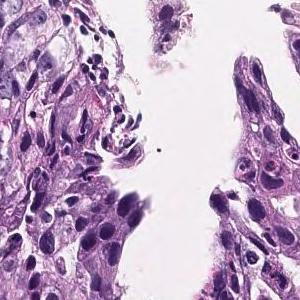
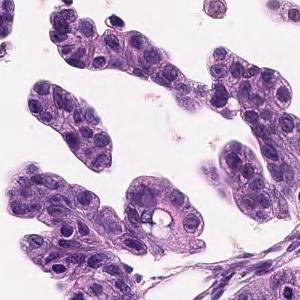
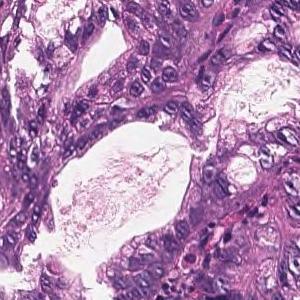
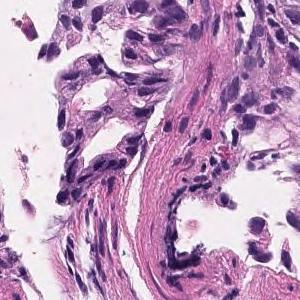
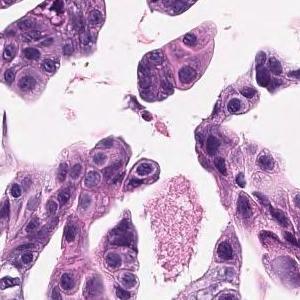
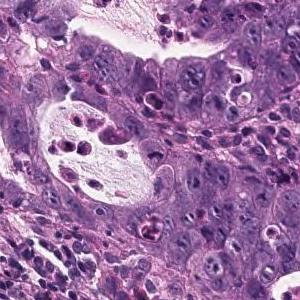
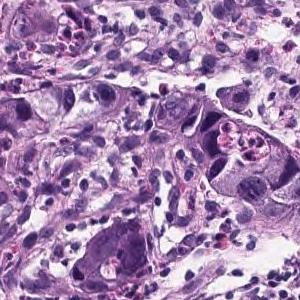
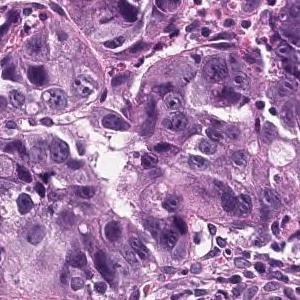
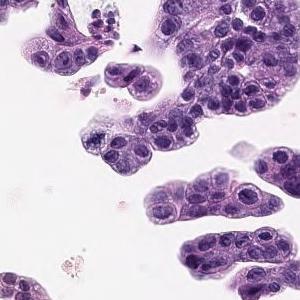
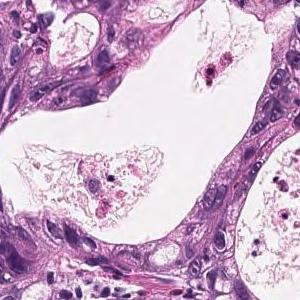
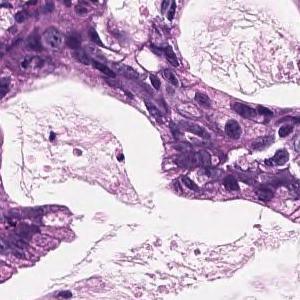
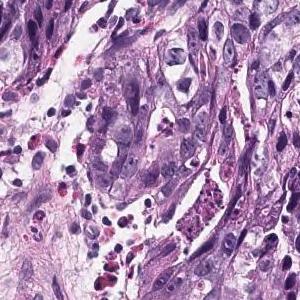
12 tiles from the same stomach biopsy slide · each 300 × 300 pixels · H&E stain · ×20.
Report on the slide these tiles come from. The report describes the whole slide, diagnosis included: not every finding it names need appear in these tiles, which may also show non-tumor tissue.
Tumor cells are large, highly columnar, large club-shaped nuclei, and are associated with chromatin aggregation. Papillary adenocarcinoma.
